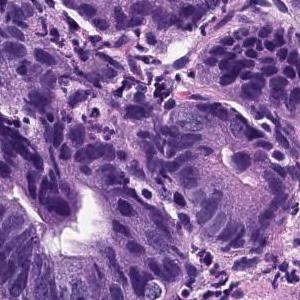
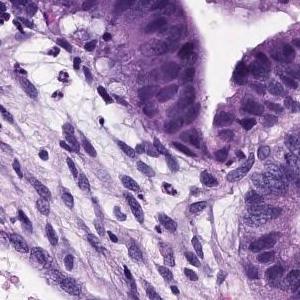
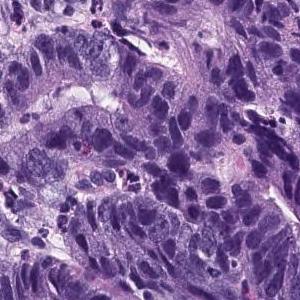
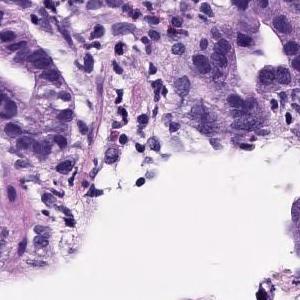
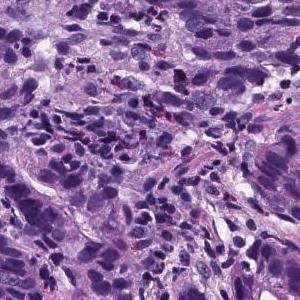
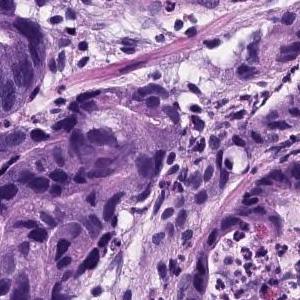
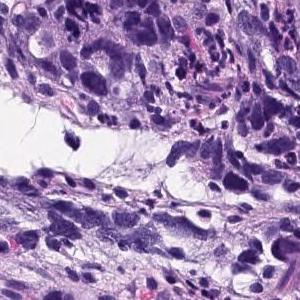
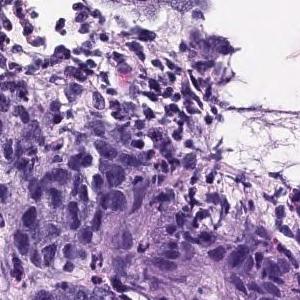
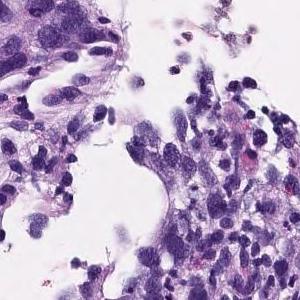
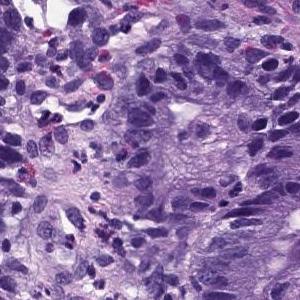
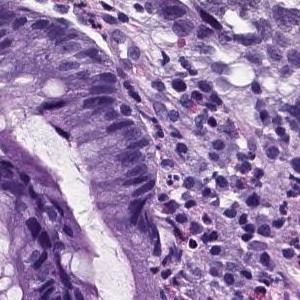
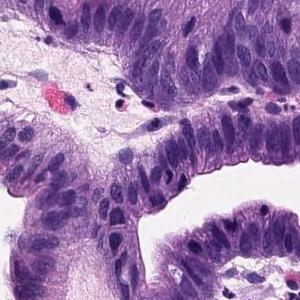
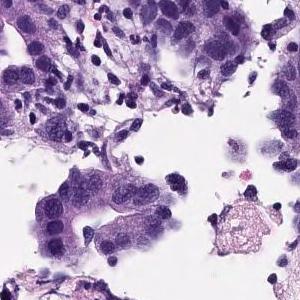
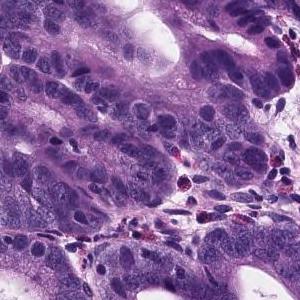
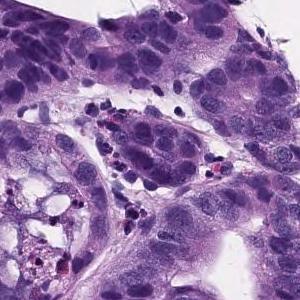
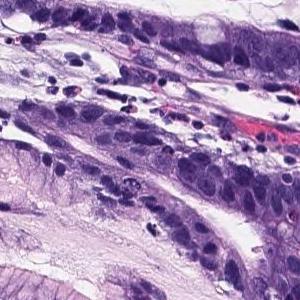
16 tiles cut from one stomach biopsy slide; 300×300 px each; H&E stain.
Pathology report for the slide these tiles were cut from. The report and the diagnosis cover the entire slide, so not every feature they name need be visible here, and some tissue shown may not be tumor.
Tumor tissue consisting of large papillary structures is found in the superficial epithelium. Papillary adenocarcinoma.
